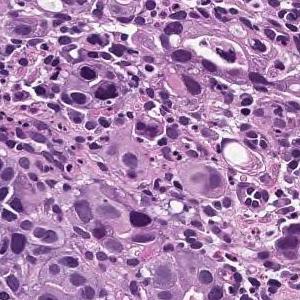
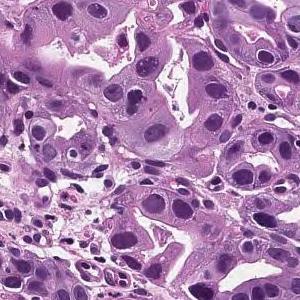
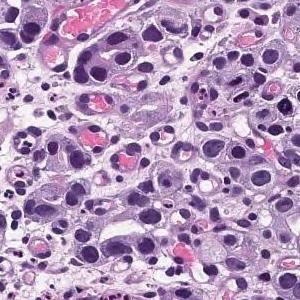
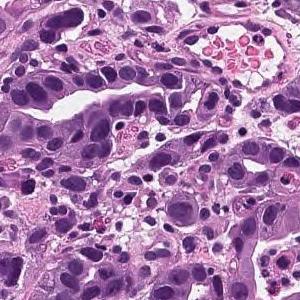
4 image tiles from a single gastric biopsy slide · 20× magnification · H&E stain.
Diagnostic report for the slide these tiles come from. The findings and the diagnosis refer to the entire slide; these tiles show only part of it, possibly with non-tumor tissue, and may not show every feature named.
The superficial epithelium shows a large sheet or alveolar shape, and tumor tissue infiltrating without irregular ducts is observed. Poorly differentiated adenocarcinoma, solid-type
Classified as poorly differentiated adenocarcinoma, solid type, a category of the Japanese Classification of Gastric Carcinoma; in the WHO 2019 classification it is tubular adenocarcinoma, poorly differentiated.
